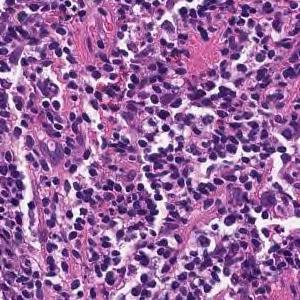
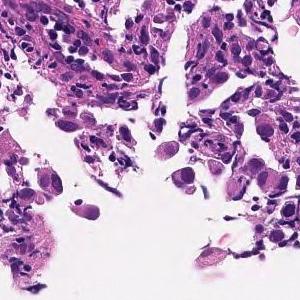
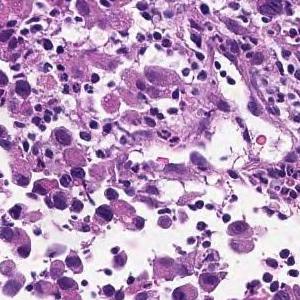
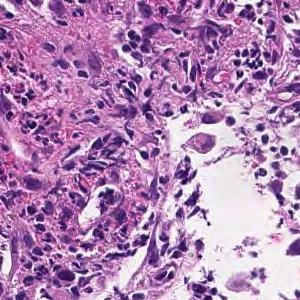
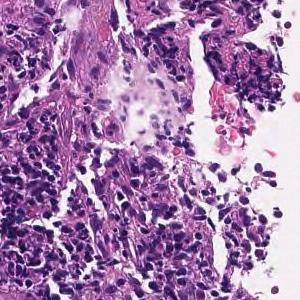
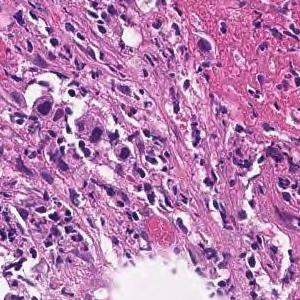
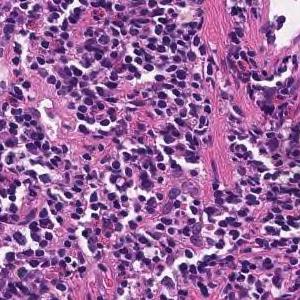
7 tiles cut from one stomach biopsy slide · 300×300 px each · hematoxylin and eosin stain · ×20.
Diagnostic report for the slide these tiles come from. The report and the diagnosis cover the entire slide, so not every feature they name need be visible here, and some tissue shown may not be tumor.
The superficial epithelium shows a large sheet-like shape, and some tumor tissue infiltrates with small irregular ducts. Poorly differentiated adenocarcinoma, solid-type (poorly differentiated adenocarcinoma, solid type)
Histological subtype: Poorly differentiated adenocarcinoma, solid type (Japanese Classification of Gastric Carcinoma). The WHO 2019 equivalent is tubular adenocarcinoma, poorly differentiated.
